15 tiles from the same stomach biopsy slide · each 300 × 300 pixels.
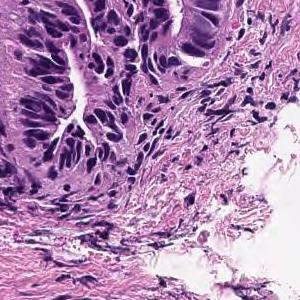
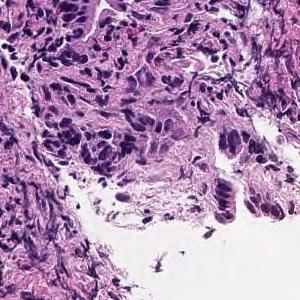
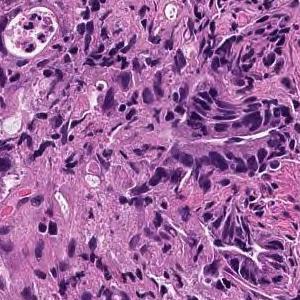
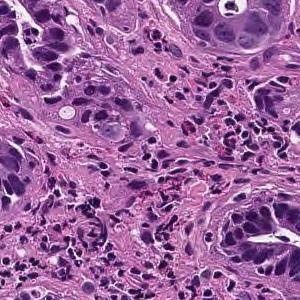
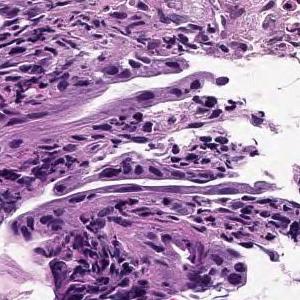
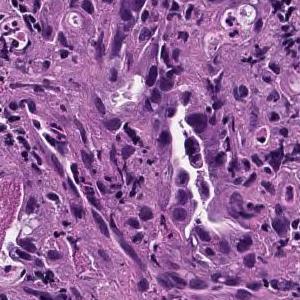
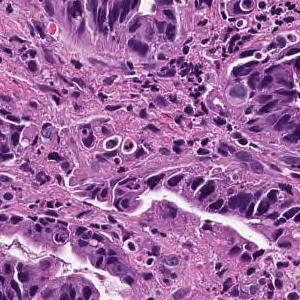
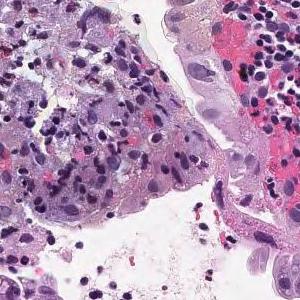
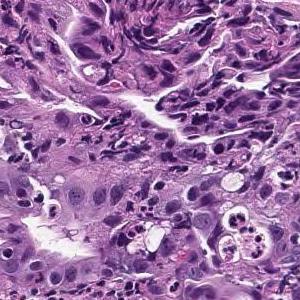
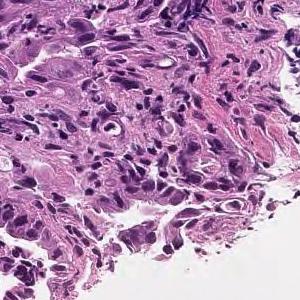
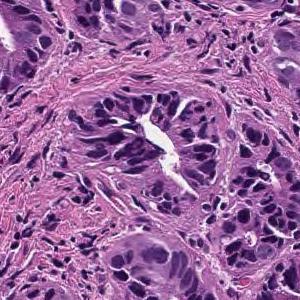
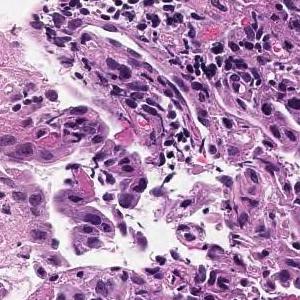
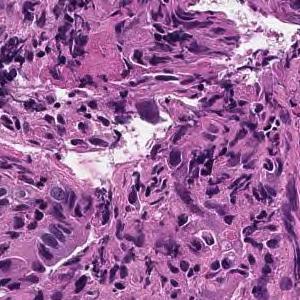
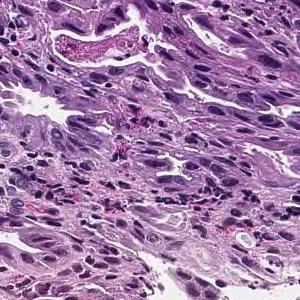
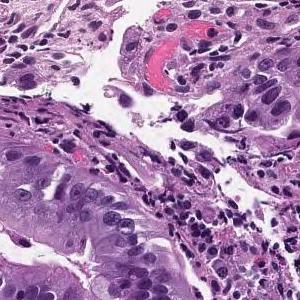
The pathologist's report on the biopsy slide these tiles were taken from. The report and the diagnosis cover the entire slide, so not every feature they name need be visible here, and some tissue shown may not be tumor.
On the superficial epithelium, tumor tissue consisting of large, irregular glandular ducts partially fused and infiltrated is observed. Well to moderately differentiated tubular adenocarcinoma (well differentiated tubular adenocarcinoma, moderately differentiated tubular adenocarcinoma)
Tumor subtype: well to moderately differentiated tubular adenocarcinoma.
